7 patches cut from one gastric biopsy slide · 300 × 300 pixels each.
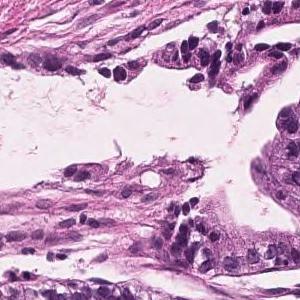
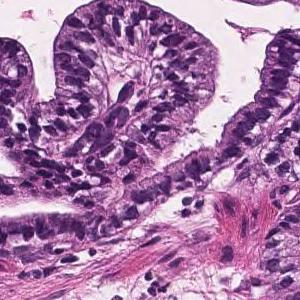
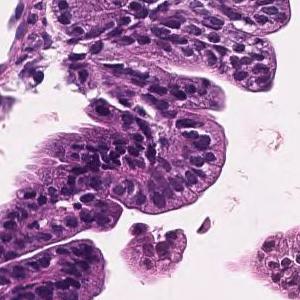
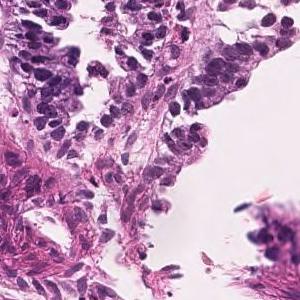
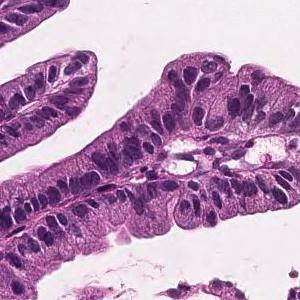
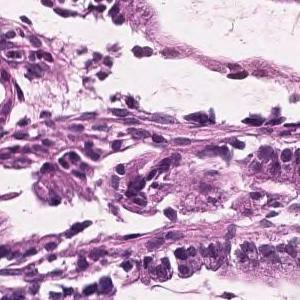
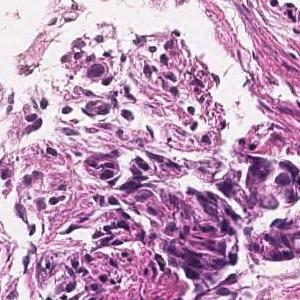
Pathology report for the biopsy slide these tiles were cut from. What the report and the diagnosis say applies to the whole slide; these tiles may miss some of the features named and may include tissue that is not tumor.
Tumor cells are large, highly columnar, large club-shaped nuclei, and are associated with chromatin aggregation. Papillary adenocarcinoma.
